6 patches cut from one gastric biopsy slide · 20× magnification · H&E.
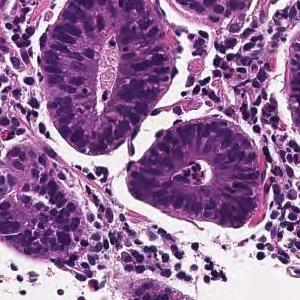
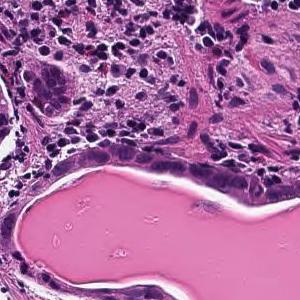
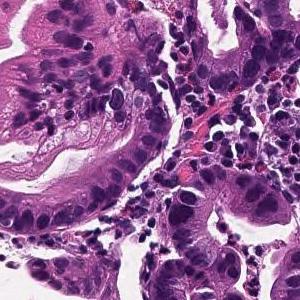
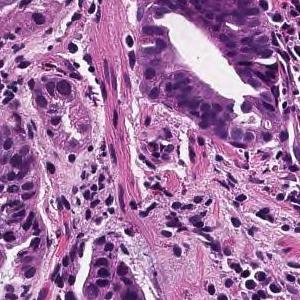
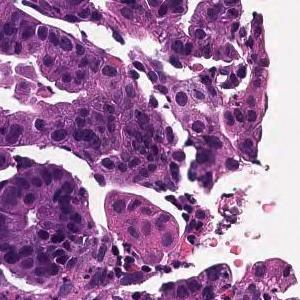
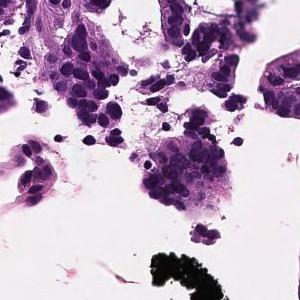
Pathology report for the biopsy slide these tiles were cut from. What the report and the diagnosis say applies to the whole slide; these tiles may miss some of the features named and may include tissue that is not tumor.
From the superficial epithelium to the muscularis mucosae, tumor tissue that invades by forming medium-sized to small irregular gland ducts is observed. Well differentiated tubular adenocarcinoma (well differentiated tubular adenocarcinoma)
Histologic type: Well differentiated tubular adenocarcinoma.
